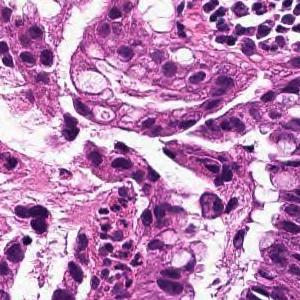
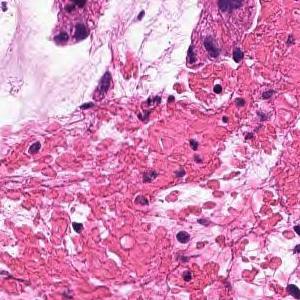
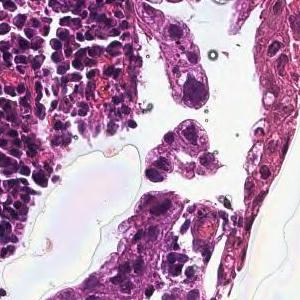
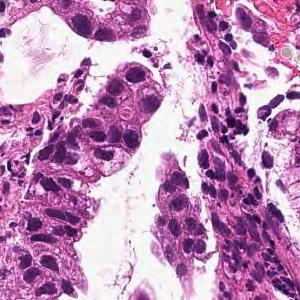
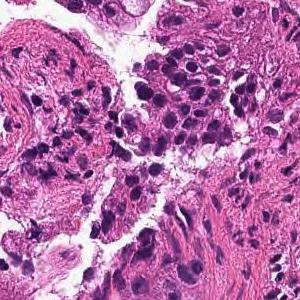
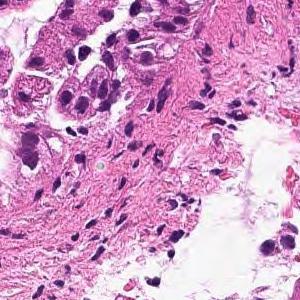
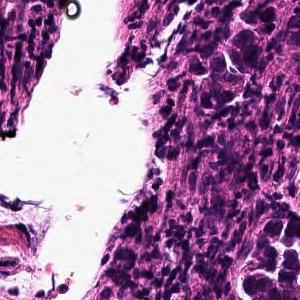
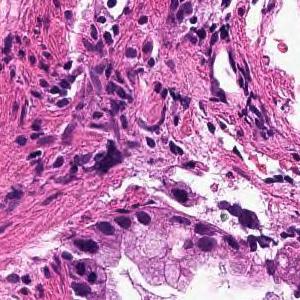
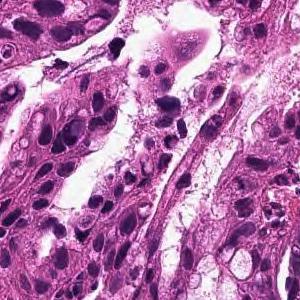
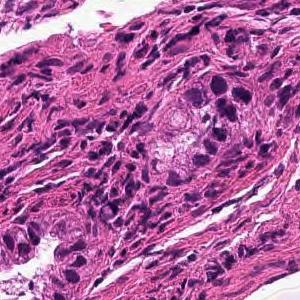
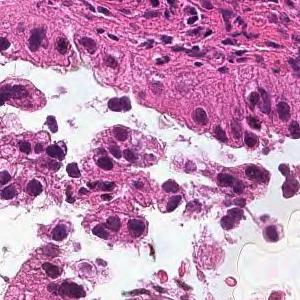
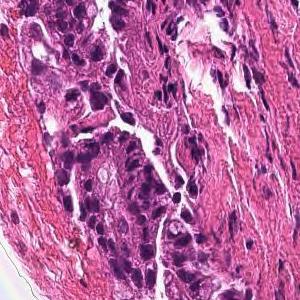
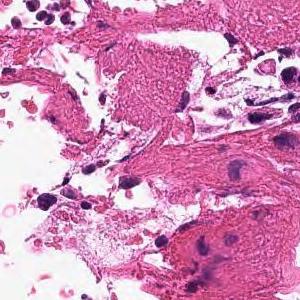
13 tiles cut from one stomach biopsy slide, 300×300 px each, 20× magnification, hematoxylin and eosin stain.
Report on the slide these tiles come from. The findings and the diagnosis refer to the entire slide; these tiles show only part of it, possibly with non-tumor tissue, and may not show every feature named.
From the superficial epithelium to the muscularis mucosae, tumor tissue infiltrating by forming medium-sized irregular gland ducts is observed. Well differentiated tubular adenocarcinoma
